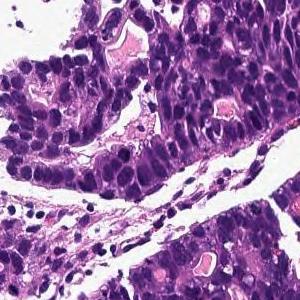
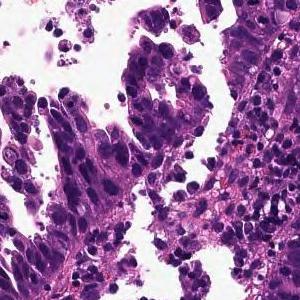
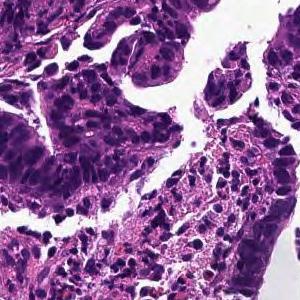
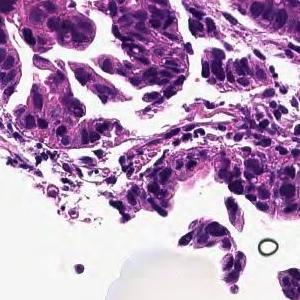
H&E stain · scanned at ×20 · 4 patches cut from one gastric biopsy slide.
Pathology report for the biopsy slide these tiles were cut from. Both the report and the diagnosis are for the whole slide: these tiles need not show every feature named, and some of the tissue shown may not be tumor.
In the superficial epithelium, tumor tissue that invades by forming medium-sized to small, irregular ducts is observed. moderately differentiated tubular adenocarcinoma.
